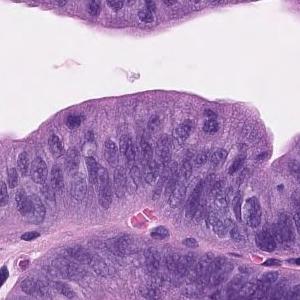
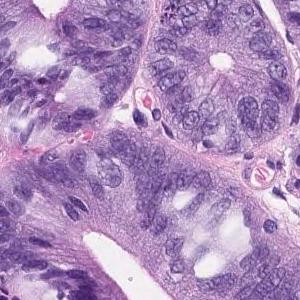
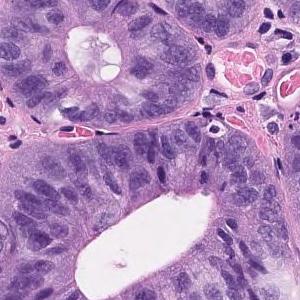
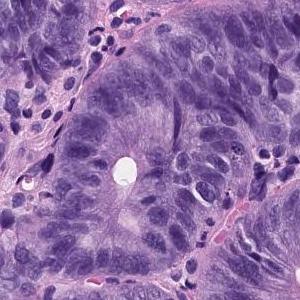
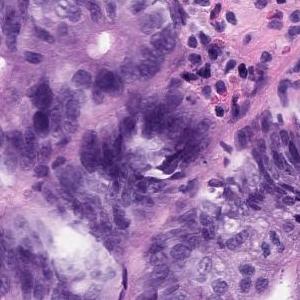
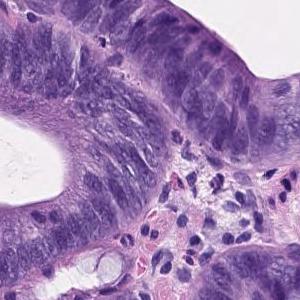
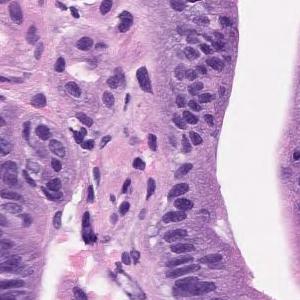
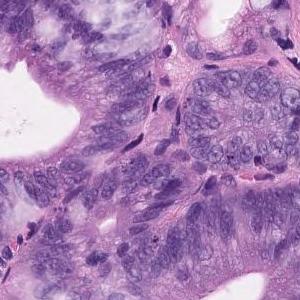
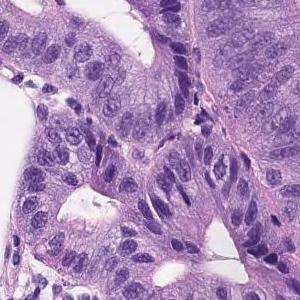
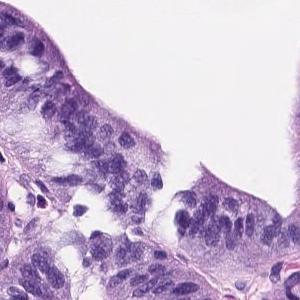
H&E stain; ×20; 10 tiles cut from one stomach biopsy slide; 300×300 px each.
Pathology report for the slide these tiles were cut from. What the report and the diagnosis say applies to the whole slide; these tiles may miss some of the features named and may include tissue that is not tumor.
On the superficial epithelium, tumor tissue consisting of images of atypical ducts of different sizes partially fused and densely proliferating is observed. Well differentiated tubular adenocarcinoma
